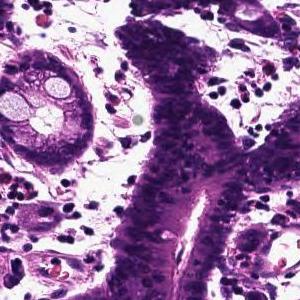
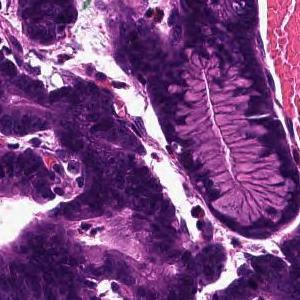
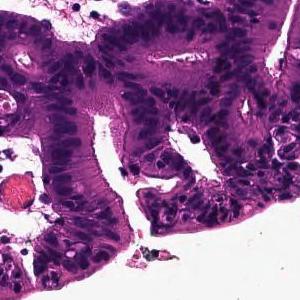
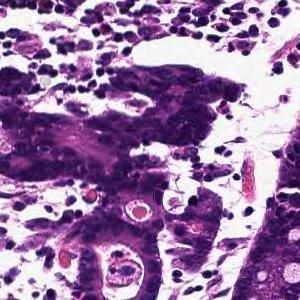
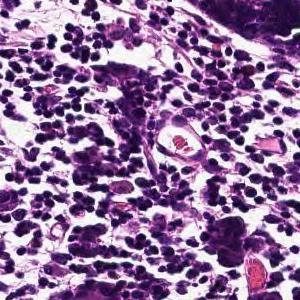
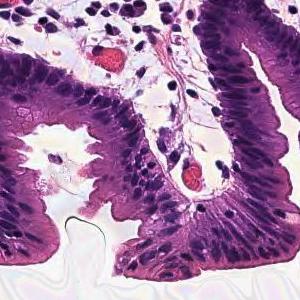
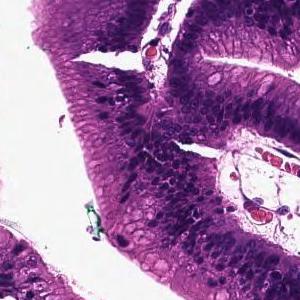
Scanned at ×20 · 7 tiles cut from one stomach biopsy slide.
The pathologist's report on the biopsy slide these tiles were taken from. What the report and the diagnosis say applies to the whole slide; these tiles may miss some of the features named and may include tissue that is not tumor.
Tumor tissue that infiltrates by forming large papillary or large irregular glandular ducts is observed confined to the mucosa. Papillary adenocarcinoma
